Hematoxylin and eosin stain · scanned at ×20 · 4 patches cut from one gastric biopsy slide · 300 × 300 pixels each.
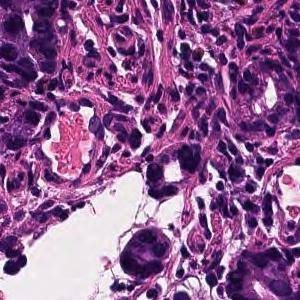
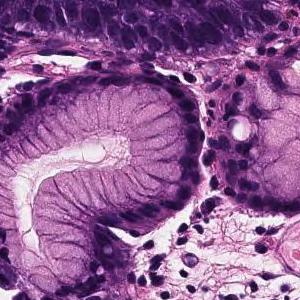
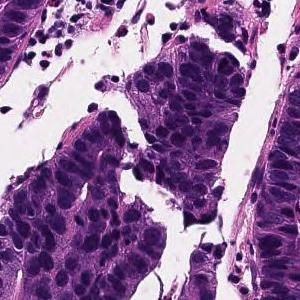
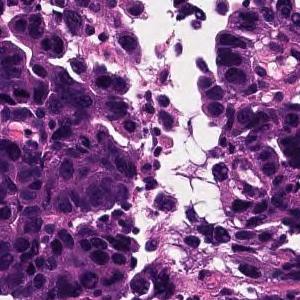
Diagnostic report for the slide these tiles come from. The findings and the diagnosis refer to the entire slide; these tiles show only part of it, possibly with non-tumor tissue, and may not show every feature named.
In the superficial epithelium, tumor tissue that invades by forming medium-sized to small, irregular ducts is observed. moderately differentiated tubular adenocarcinoma.
